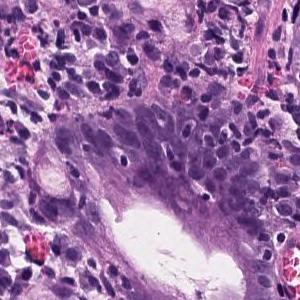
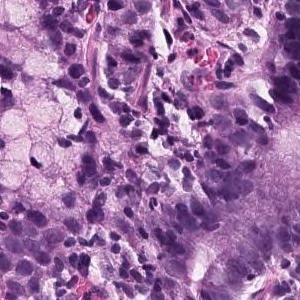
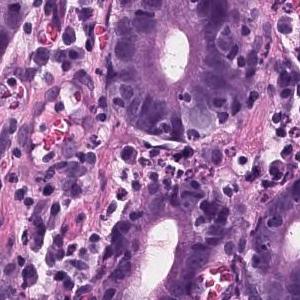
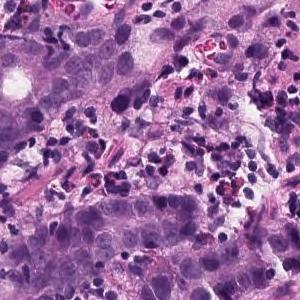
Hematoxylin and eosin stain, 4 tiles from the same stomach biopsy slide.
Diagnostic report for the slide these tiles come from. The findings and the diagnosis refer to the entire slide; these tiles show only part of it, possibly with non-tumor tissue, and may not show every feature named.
In the superficial epithelium, tumor tissue that invades by forming medium-sized to small, irregular ducts is observed. Moderately differentiated adenocarcinoma.
Subtype: Moderately differentiated tubular adenocarcinoma.
